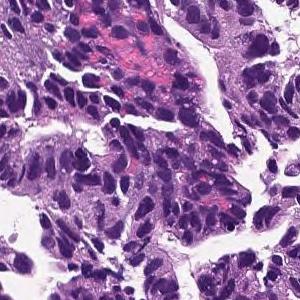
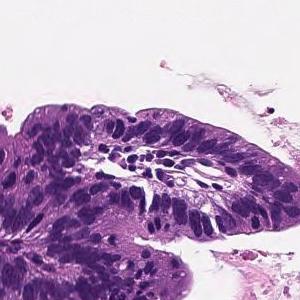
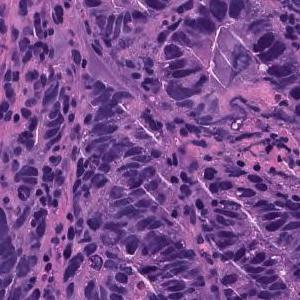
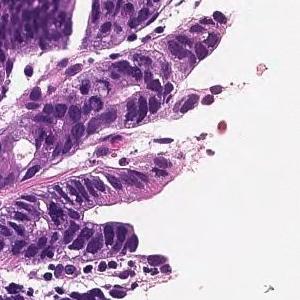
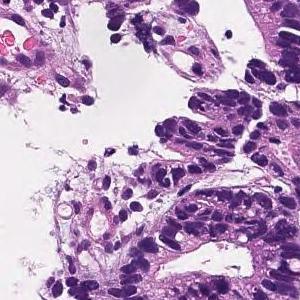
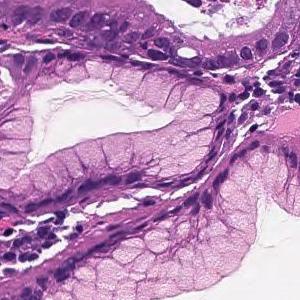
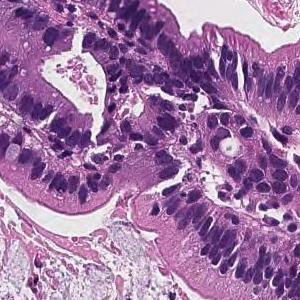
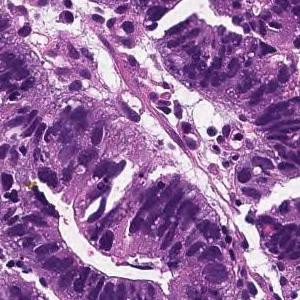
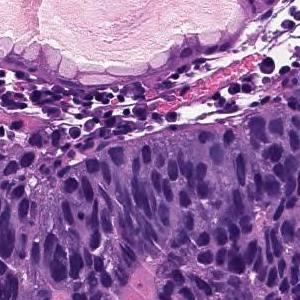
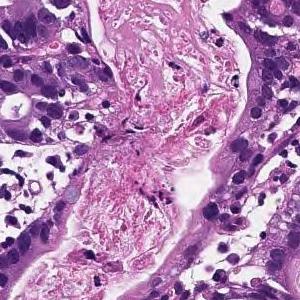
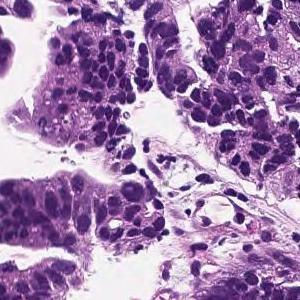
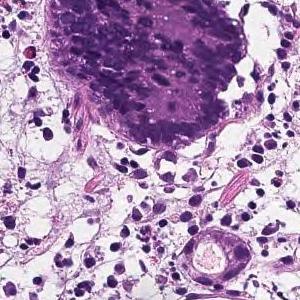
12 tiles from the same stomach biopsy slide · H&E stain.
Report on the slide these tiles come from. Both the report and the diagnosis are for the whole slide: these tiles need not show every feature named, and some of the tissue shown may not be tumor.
In the superficial epithelium, tumor tissue that invades by forming medium-sized to small, irregular ducts is observed. moderately differentiated tubular adenocarcinoma.
